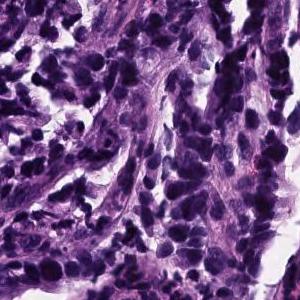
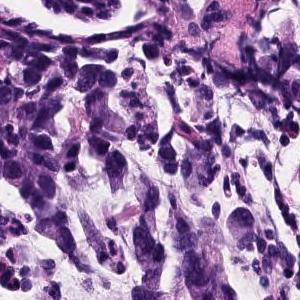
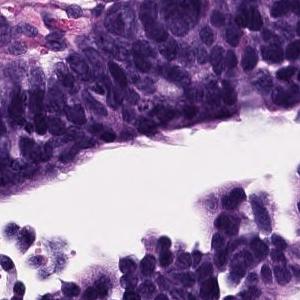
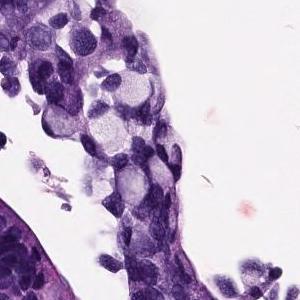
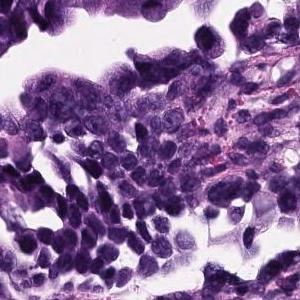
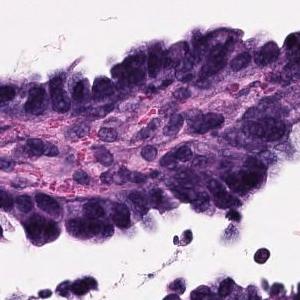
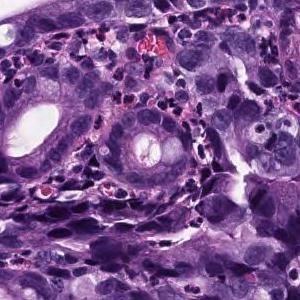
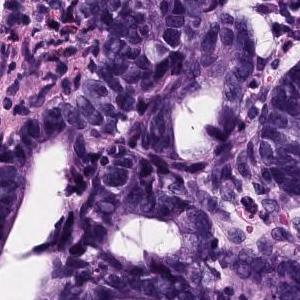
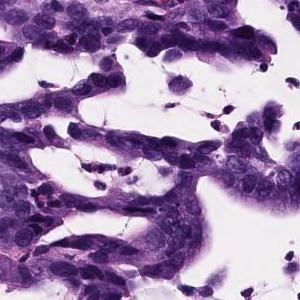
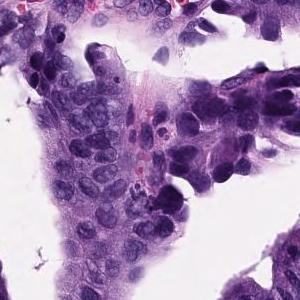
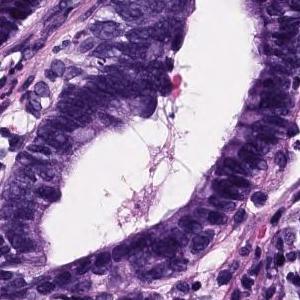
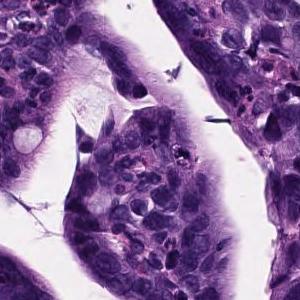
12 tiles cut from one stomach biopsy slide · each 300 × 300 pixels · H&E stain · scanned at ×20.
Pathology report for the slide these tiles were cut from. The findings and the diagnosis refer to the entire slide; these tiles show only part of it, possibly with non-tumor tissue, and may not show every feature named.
Atypical epithelium proliferating showing villus construction and irregular gland duct construction is observed. Moderately differentiated tubular adenocarcinoma.
